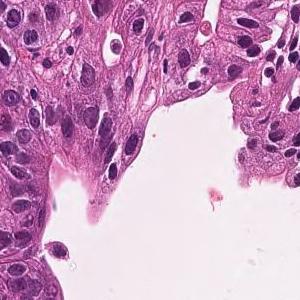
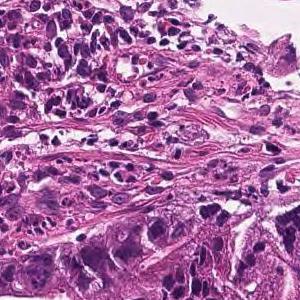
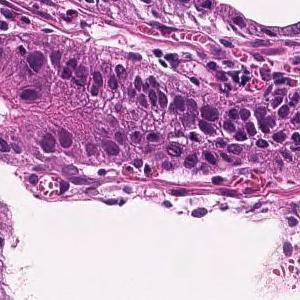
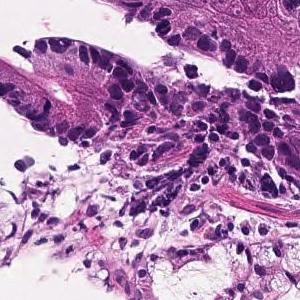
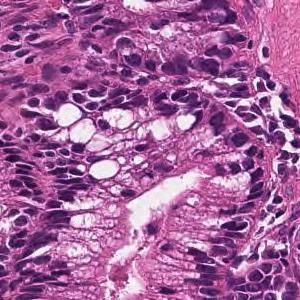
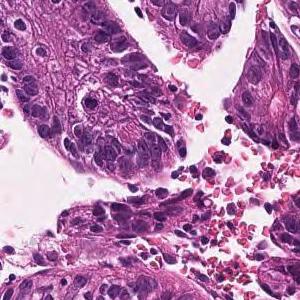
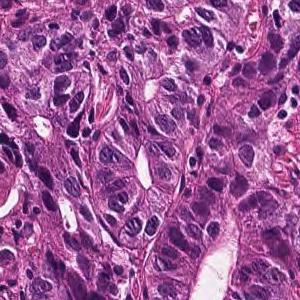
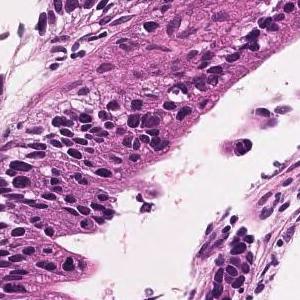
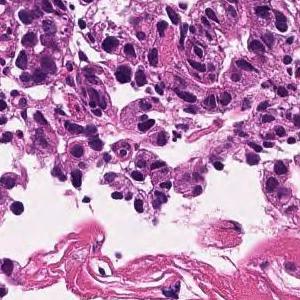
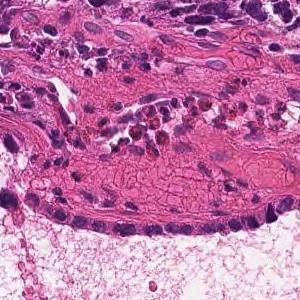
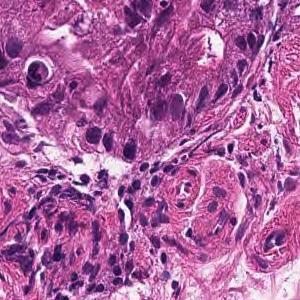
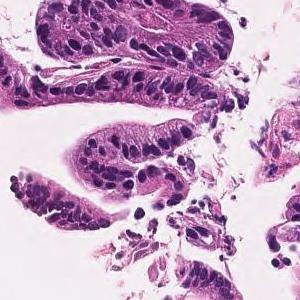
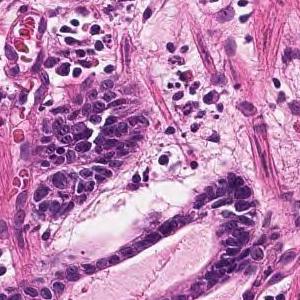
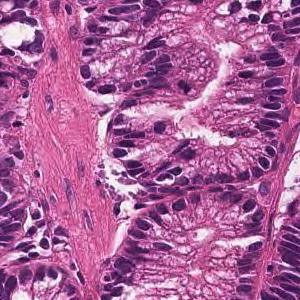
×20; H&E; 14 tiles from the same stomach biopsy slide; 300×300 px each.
Report on the slide these tiles come from. What the report and the diagnosis say applies to the whole slide; these tiles may miss some of the features named and may include tissue that is not tumor.
In the superficial epithelium, tumor tissue that invades by forming medium-sized to small, irregular ducts is observed. moderately differentiated tubular adenocarcinoma.
